H&E stain · 20× magnification · 7 tiles cut from one stomach biopsy slide · 300 × 300 pixels each.
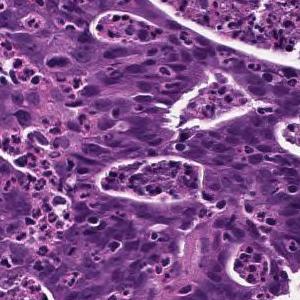
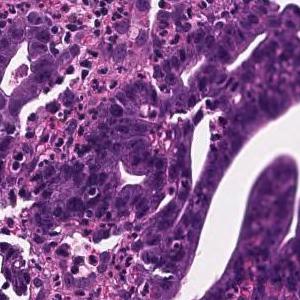
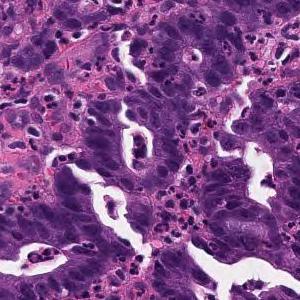
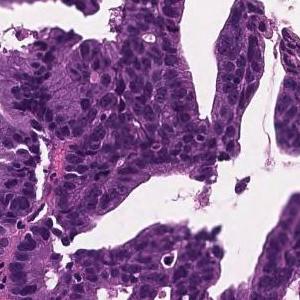
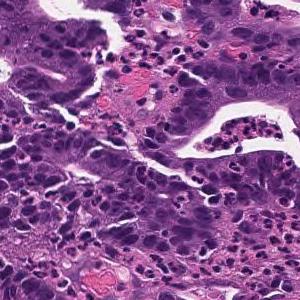
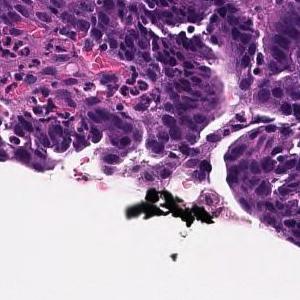
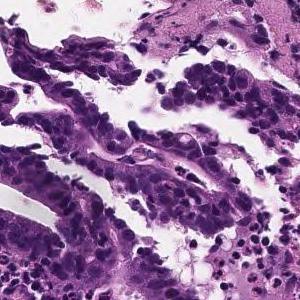
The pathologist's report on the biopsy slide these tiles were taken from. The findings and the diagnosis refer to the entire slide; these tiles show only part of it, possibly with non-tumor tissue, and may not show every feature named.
Tumor cells are large, highly columnar, large club-shaped nuclei, and are associated with chromatin aggregation. Papillary adenocarcinoma.
